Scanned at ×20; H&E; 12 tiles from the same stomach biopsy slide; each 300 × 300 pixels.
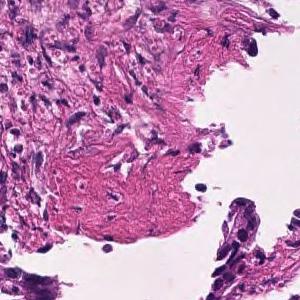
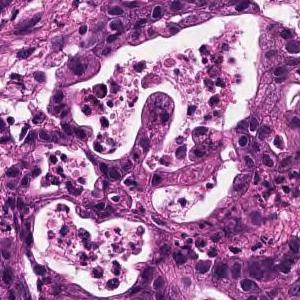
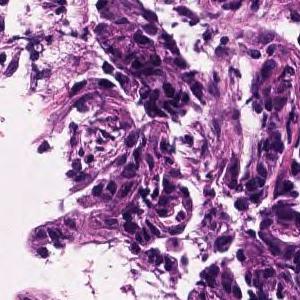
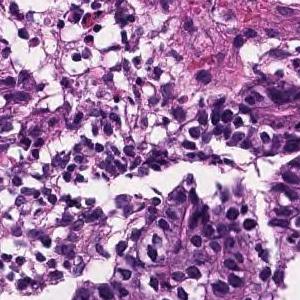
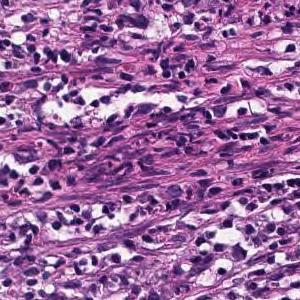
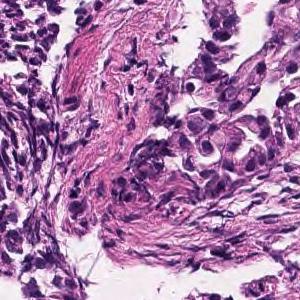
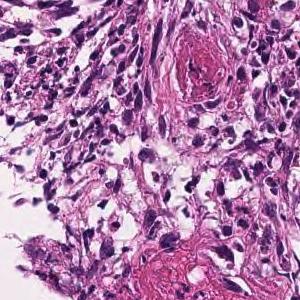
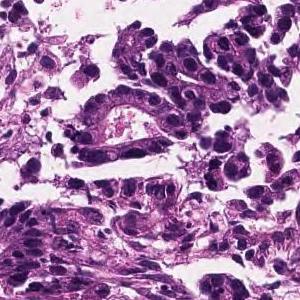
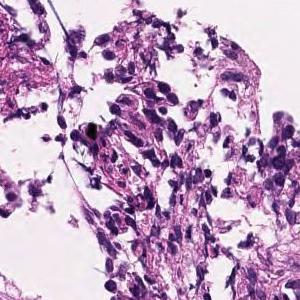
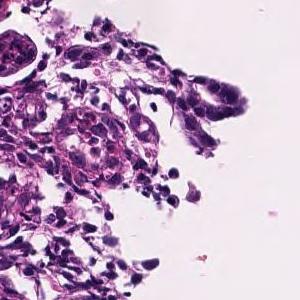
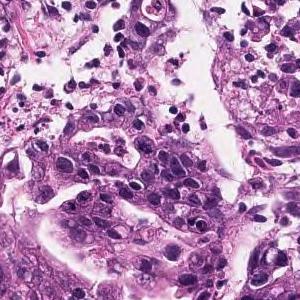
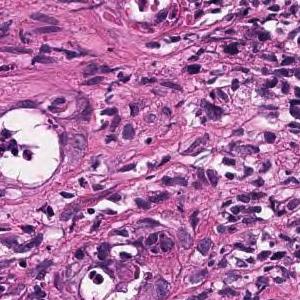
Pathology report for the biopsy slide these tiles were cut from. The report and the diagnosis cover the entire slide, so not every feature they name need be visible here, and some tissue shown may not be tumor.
In the superficial epithelium, medium to small, irregular gland ducts are formed, and in some cases, the gland ducts are fused to show solid alveolar lesions and infiltrating tumor tissue is observed. Moderately to poorly differentiated adenocarcinoma.
